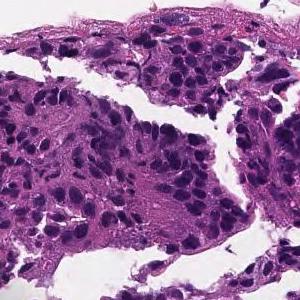
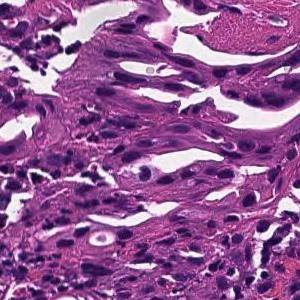
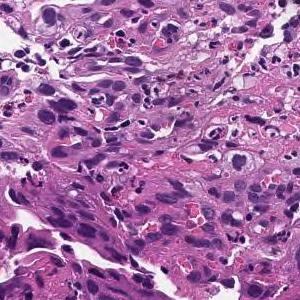
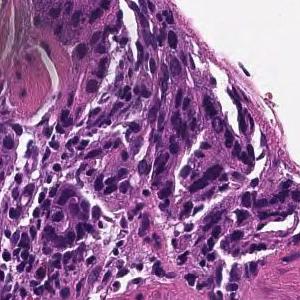
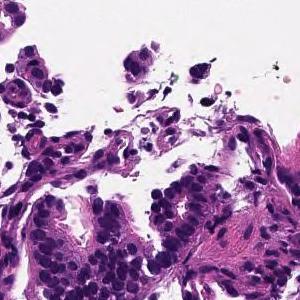
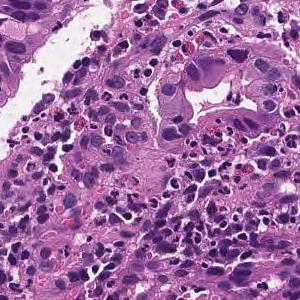
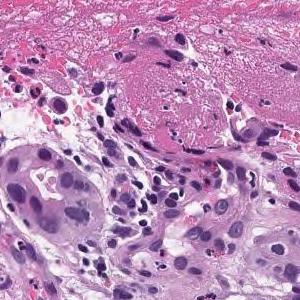
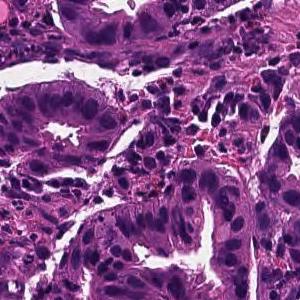
Hematoxylin and eosin stain · 8 tiles cut from one stomach biopsy slide.
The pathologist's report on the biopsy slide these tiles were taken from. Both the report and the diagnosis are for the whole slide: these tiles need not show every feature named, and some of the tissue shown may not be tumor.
In the superficial epithelium, tumor tissue that invades by forming medium-sized to small, irregular ducts is observed. moderately differentiated tubular adenocarcinoma.
